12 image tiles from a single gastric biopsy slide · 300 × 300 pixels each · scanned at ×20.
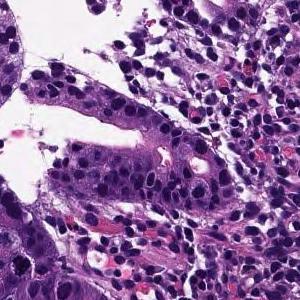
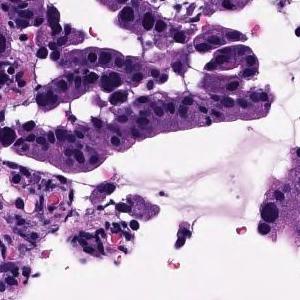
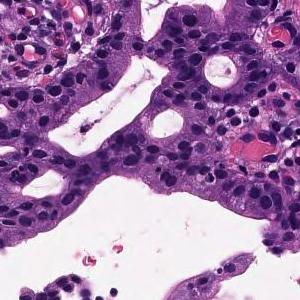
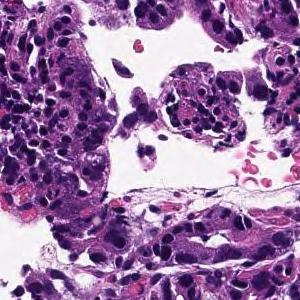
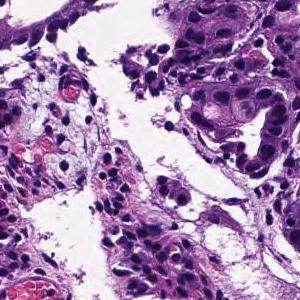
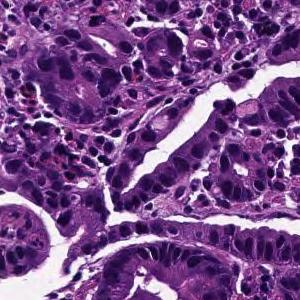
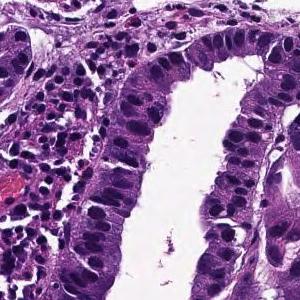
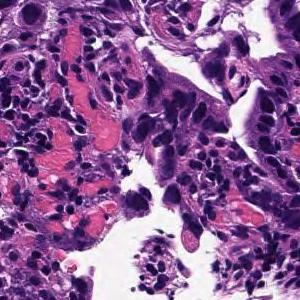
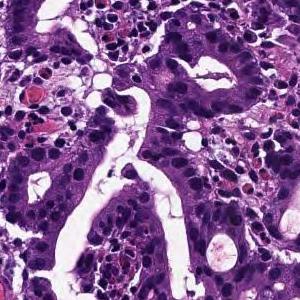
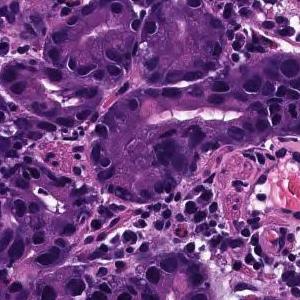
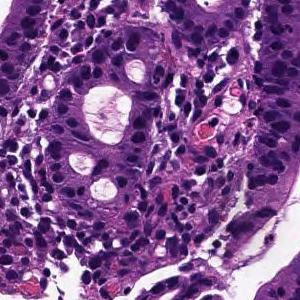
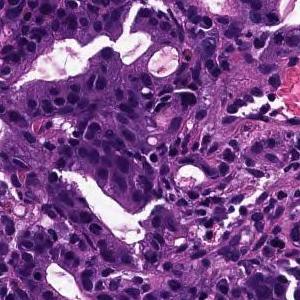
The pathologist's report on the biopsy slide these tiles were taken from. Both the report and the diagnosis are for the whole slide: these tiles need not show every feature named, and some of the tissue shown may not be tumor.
From the superficial epithelium to the muscularis mucosae, tumor tissue consisting of medium-sized and irregular glandular ducts infiltrating is observed. Well differentiated tubular adenocarcinoma
